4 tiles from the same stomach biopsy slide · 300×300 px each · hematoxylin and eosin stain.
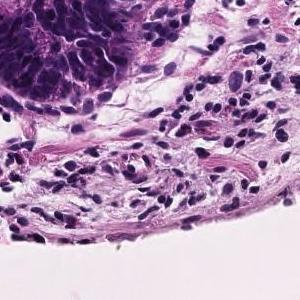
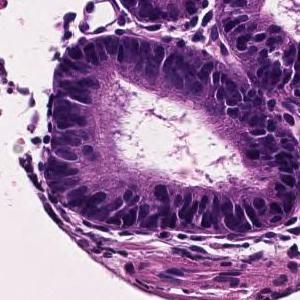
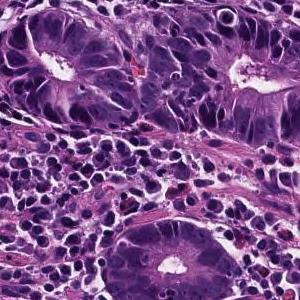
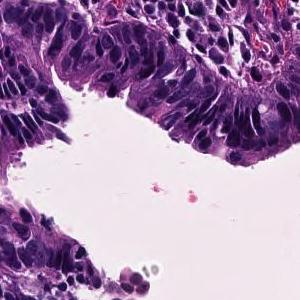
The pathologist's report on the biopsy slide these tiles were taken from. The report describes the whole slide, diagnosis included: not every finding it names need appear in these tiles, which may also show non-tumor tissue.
On the superficial epithelium, tumor tissue consisting of growth of medium-sized to large-sized, round or irregular glandular ducts is observed. Well differentiated tubular adenocarcinoma
